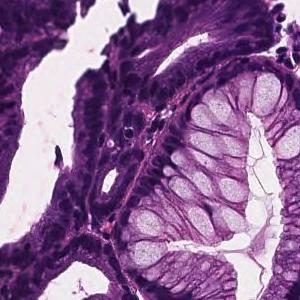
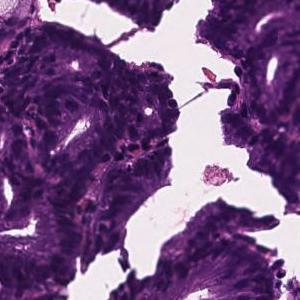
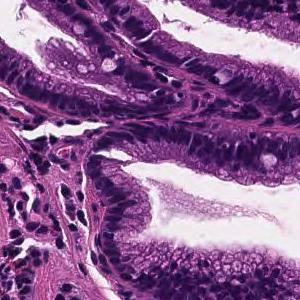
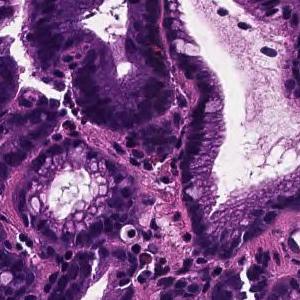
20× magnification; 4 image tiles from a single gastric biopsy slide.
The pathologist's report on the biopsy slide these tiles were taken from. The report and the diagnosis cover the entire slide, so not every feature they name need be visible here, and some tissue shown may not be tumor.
In the superficial epithelium, tumor tissue that invades by forming medium-sized to small, irregular ducts is observed. moderately differentiated tubular adenocarcinoma.
